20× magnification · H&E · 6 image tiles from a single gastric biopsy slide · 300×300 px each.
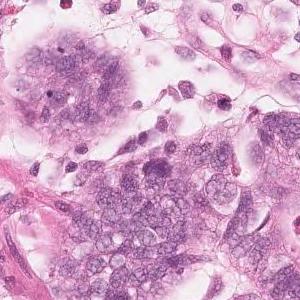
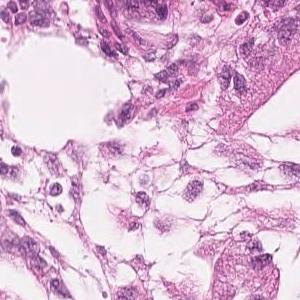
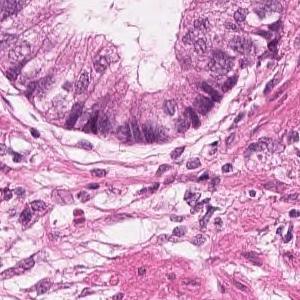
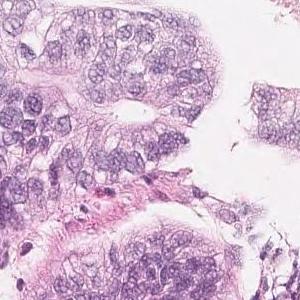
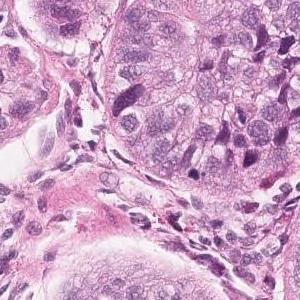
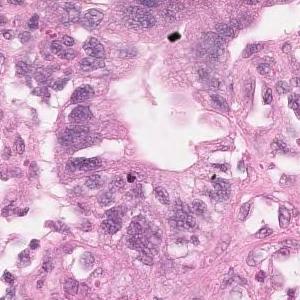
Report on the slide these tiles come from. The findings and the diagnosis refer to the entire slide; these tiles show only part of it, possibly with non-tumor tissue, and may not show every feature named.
Highly columnar epithelium with disordered nuclear localization proliferates showing fusion ductal construction. moderately differentiated tubular adenocarcinoma
